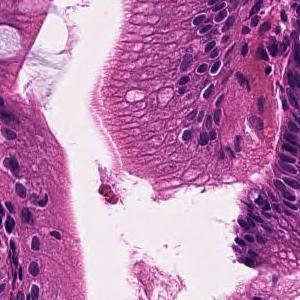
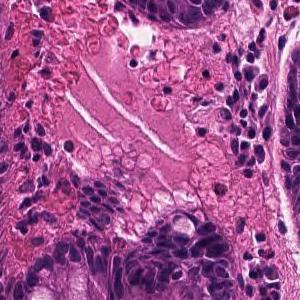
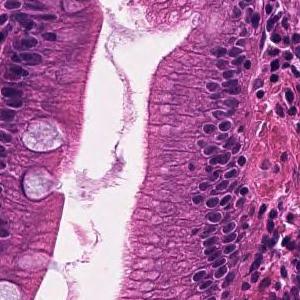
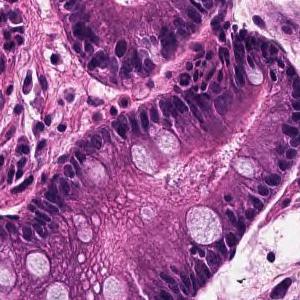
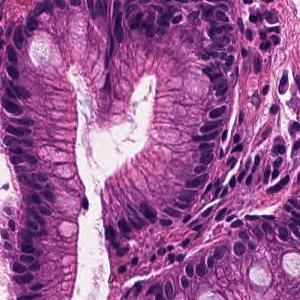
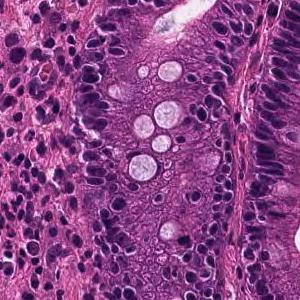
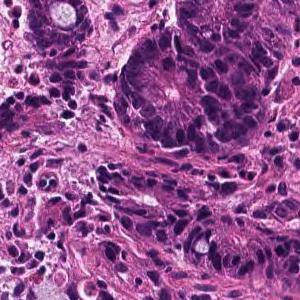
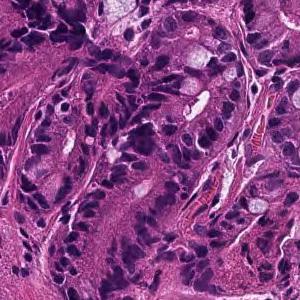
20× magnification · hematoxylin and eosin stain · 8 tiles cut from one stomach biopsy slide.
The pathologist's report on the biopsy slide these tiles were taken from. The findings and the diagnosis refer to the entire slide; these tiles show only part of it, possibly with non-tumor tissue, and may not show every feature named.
Medium to small, irregular glandular ducts are formed in the superficial epithelium, and in some cases, the glandular ducts are fused to show solid alveolar lesions and infiltrating tumor tissue is observed. Moderately to poorly differentiated adenocarcinoma.
